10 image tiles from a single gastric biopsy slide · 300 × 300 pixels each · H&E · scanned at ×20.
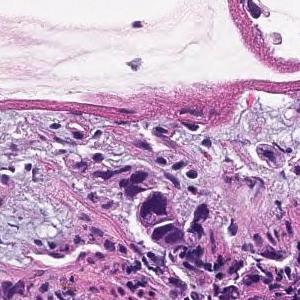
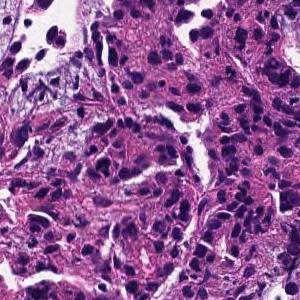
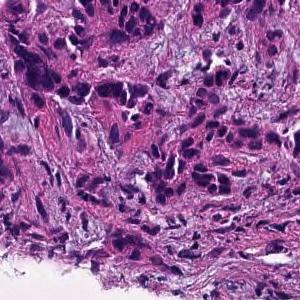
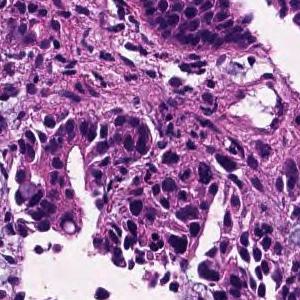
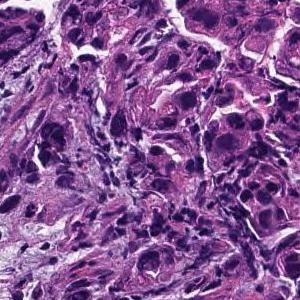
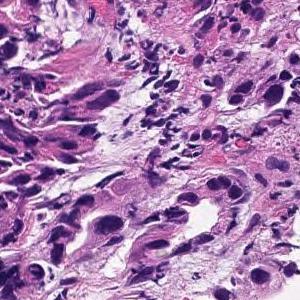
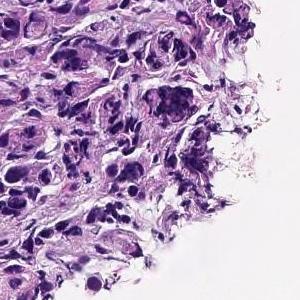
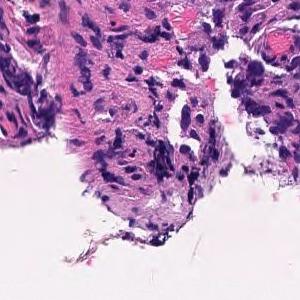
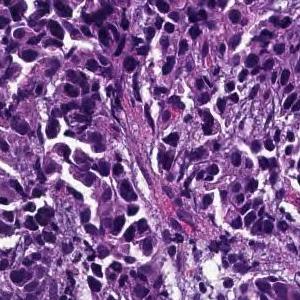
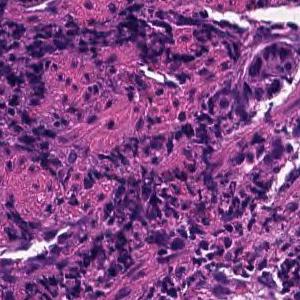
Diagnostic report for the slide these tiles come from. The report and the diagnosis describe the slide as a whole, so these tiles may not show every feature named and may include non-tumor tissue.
Tumor tissue consisting of cord-like or small, irregular glandular ducts fused and infiltrated is observed in the superficial epithelium. Poorly differentiated adenocarcinoma, non-solid type
The term "non-solid type" comes from the Japanese Classification of Gastric Carcinoma.
